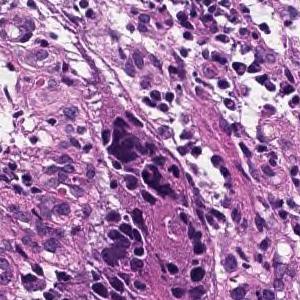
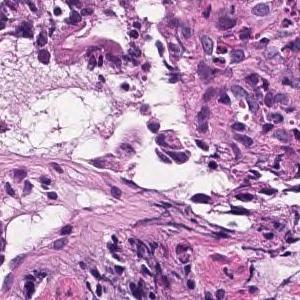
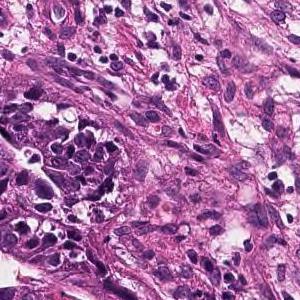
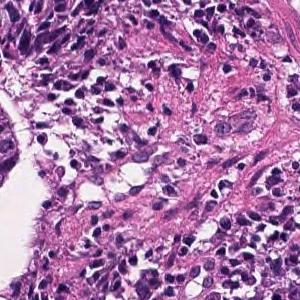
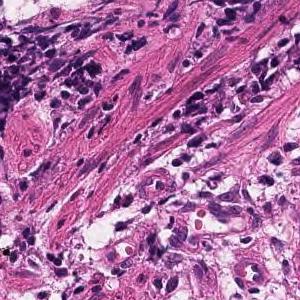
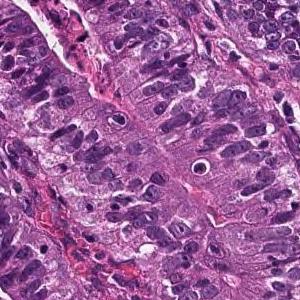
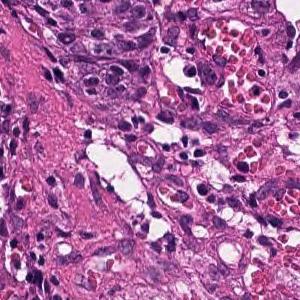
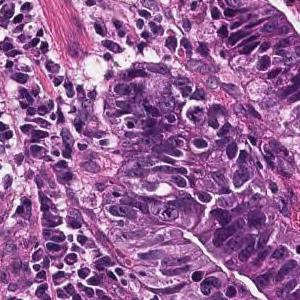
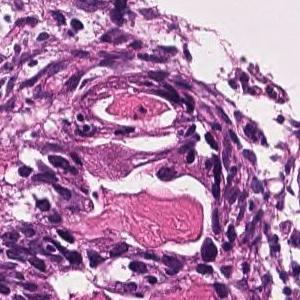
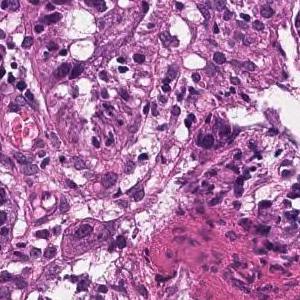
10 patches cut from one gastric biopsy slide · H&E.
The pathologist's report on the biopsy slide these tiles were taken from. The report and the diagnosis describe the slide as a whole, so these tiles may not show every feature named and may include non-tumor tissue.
From the superficial epithelium to the muscularis mucosae, tumor tissue infiltrating by forming medium-sized irregular gland ducts is observed. Large tumor cells exhibit large nucleus and hyperchromatism. Well differentiated tubular adenocarcinoma
